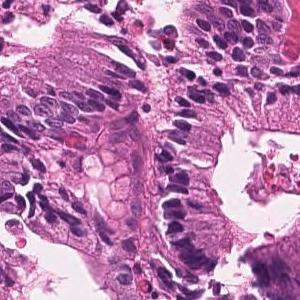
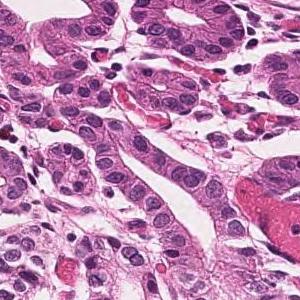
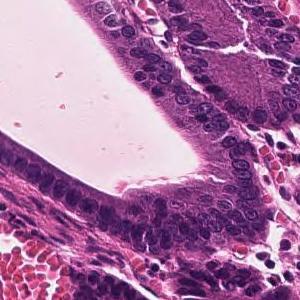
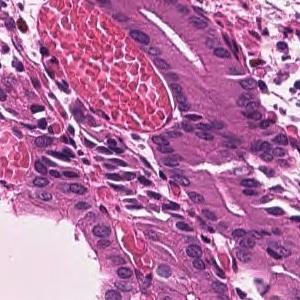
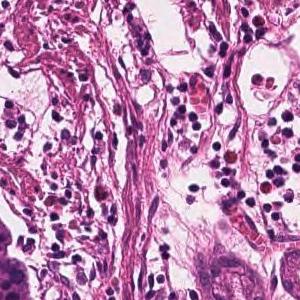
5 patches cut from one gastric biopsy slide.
Pathology report for the biopsy slide these tiles were cut from. The report and the diagnosis describe the slide as a whole, so these tiles may not show every feature named and may include non-tumor tissue.
Infiltrating tumor tissue with medium-sized, irregular ductal structure or large papillary appearance is observed. Well differentiated tubular adenocarcinoma
